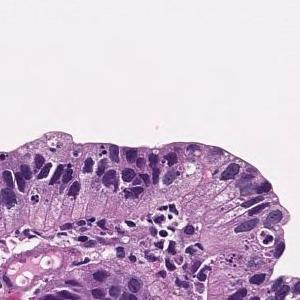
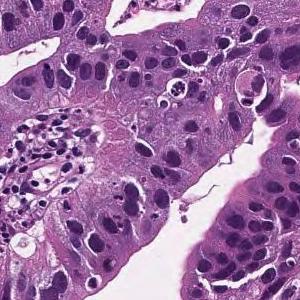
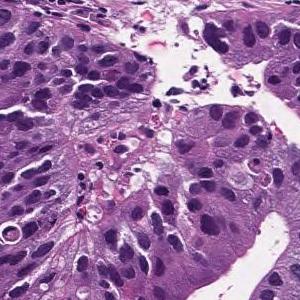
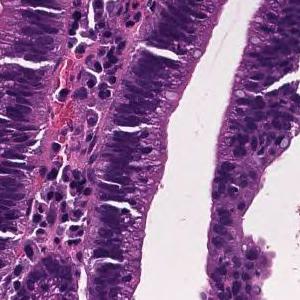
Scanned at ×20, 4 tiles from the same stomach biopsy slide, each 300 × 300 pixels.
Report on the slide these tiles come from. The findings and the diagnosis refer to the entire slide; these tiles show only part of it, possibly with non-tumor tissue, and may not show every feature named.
Tumor cells are large, highly columnar, large club-shaped nuclei, and are associated with chromatin aggregation. Papillary adenocarcinoma.
